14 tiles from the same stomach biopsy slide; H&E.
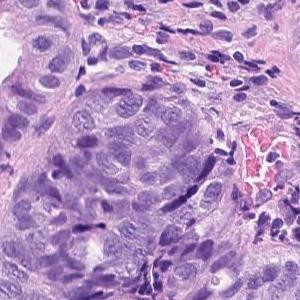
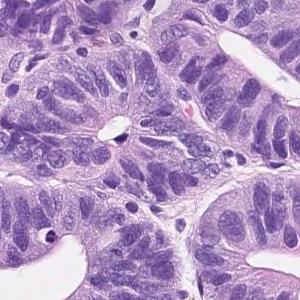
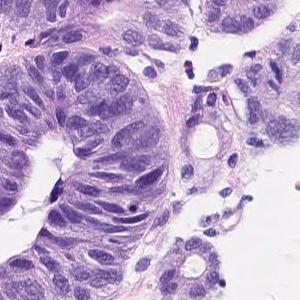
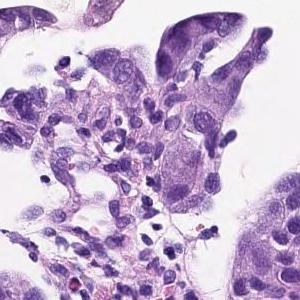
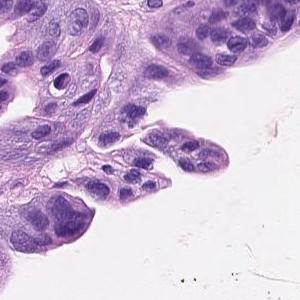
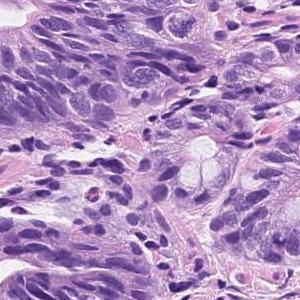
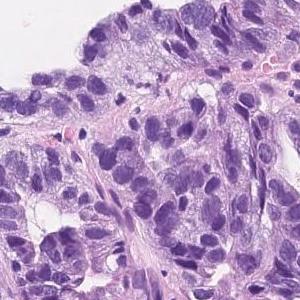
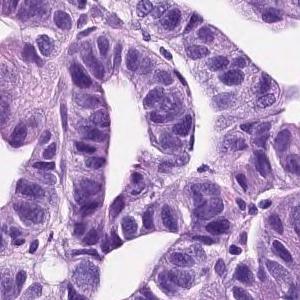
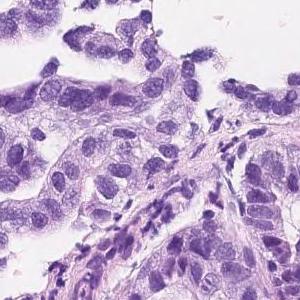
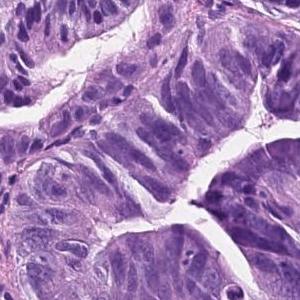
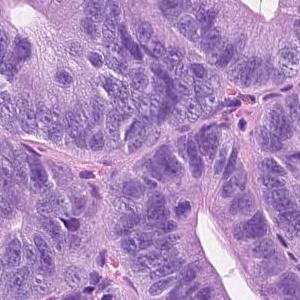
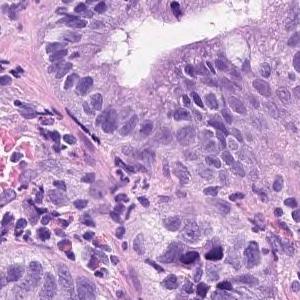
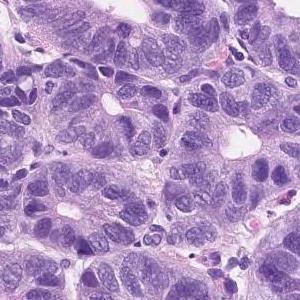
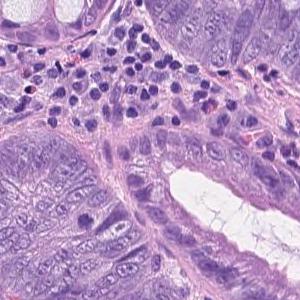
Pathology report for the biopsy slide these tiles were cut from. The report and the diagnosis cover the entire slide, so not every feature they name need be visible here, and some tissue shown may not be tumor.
Tumor tissue consisting of medium-sized and irregular ducts is observed infiltrating in the superficial epithelium. Tumor cells are highly columnar, with nuclei aligned basolaterally and polarized. Well differentiated tubular adenocarcinoma.
